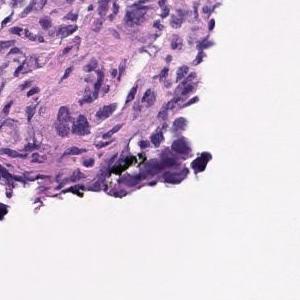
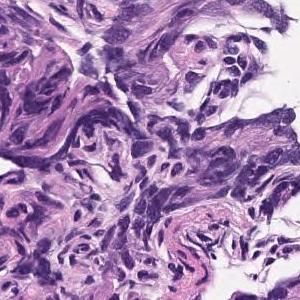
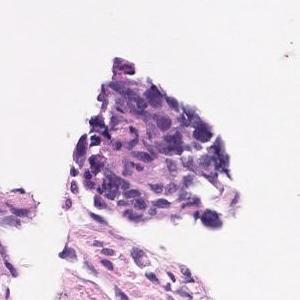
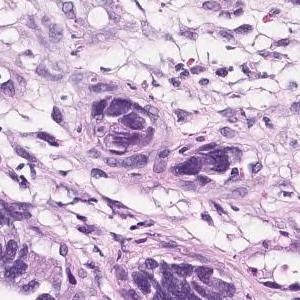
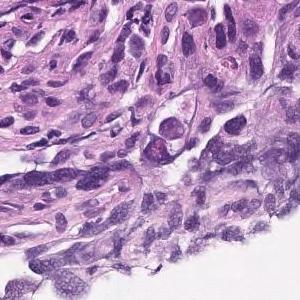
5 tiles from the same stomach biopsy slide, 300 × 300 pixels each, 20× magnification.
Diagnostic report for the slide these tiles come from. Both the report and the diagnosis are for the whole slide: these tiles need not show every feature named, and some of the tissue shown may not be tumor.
Atypical l cells with atypical nuclei under the mucosa growing in isolation and scattered. Moderately to poorly differentiated adenocarcinoma (moderately differentiated tubular adenocarcinoma poorly differentiated adenocarcinoma, solid type)
Subtype: Moderately to poorly differentiated adenocarcinoma.
The solid type named here is a Japanese Classification of Gastric Carcinoma category; WHO 2019 calls it tubular adenocarcinoma, poorly differentiated.
